14 patches cut from one gastric biopsy slide; 300 × 300 pixels each; H&E; 20× magnification.
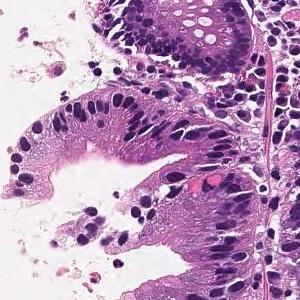
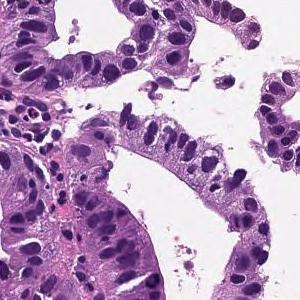
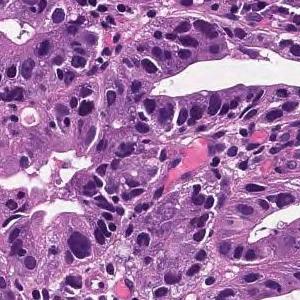
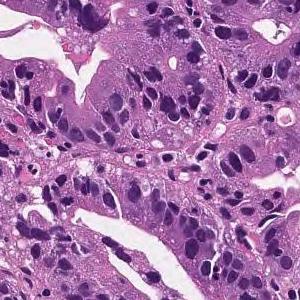
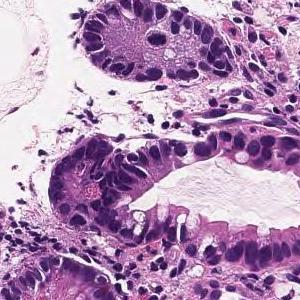
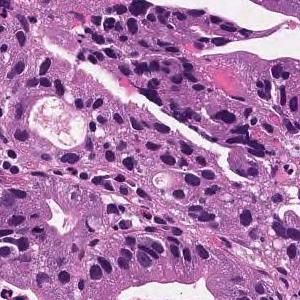
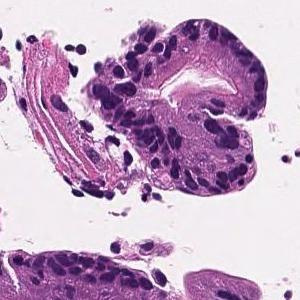
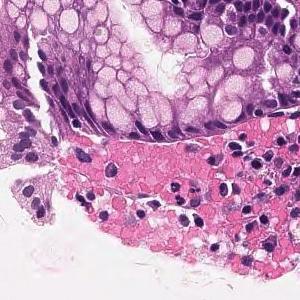
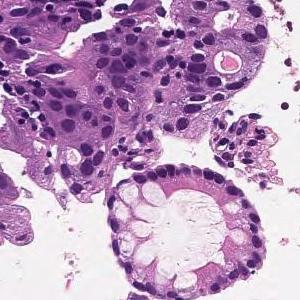
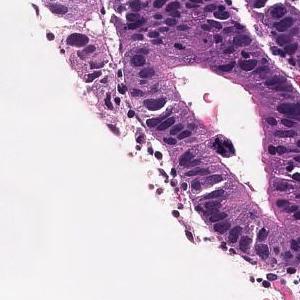
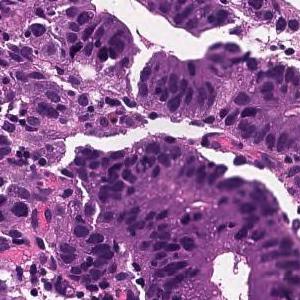
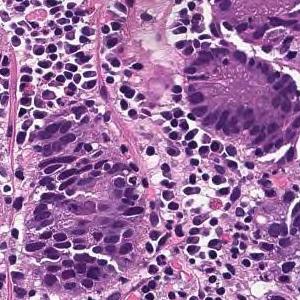
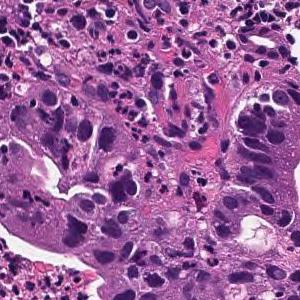
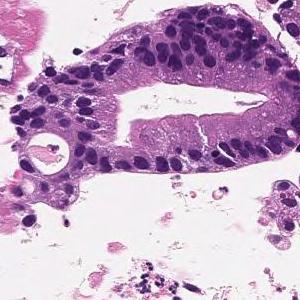
The pathologist's report on the biopsy slide these tiles were taken from. The findings and the diagnosis refer to the entire slide; these tiles show only part of it, possibly with non-tumor tissue, and may not show every feature named.
From the superficial epithelium to the muscularis mucosae, tumor tissue consisting of medium-sized and irregular glandular ducts infiltrating is observed. Well differentiated tubular adenocarcinoma
